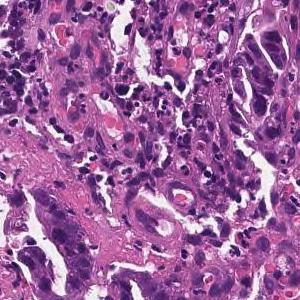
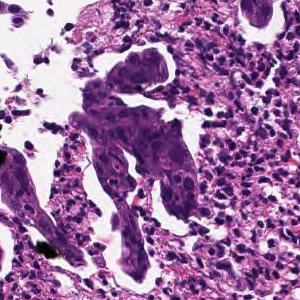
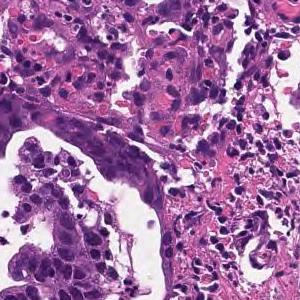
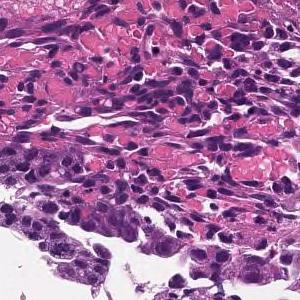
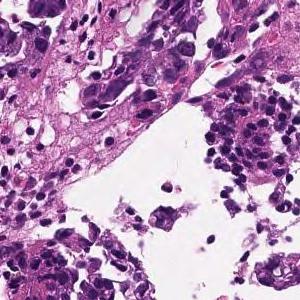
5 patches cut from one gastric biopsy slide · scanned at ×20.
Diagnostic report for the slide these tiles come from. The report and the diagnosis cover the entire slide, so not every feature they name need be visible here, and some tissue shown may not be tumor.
In the superficial epithelium, tumor tissue that invades by forming medium-sized to small, irregular ducts is observed. moderately differentiated tubular adenocarcinoma.
